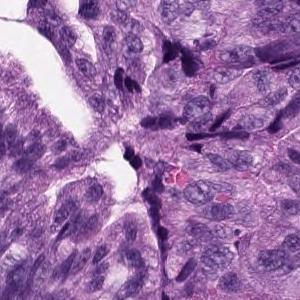
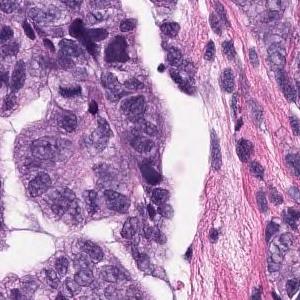
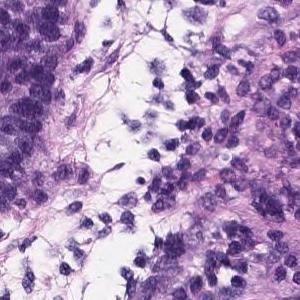
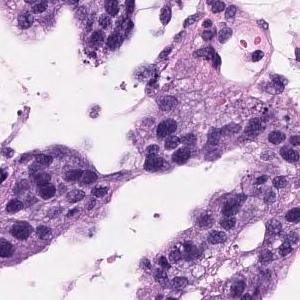
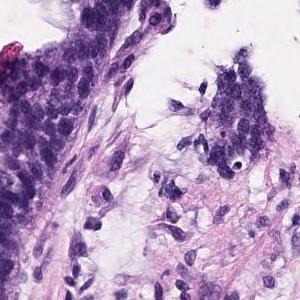
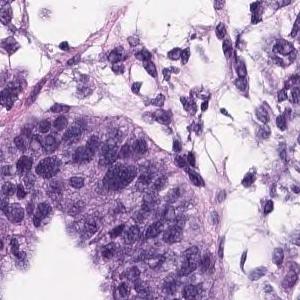
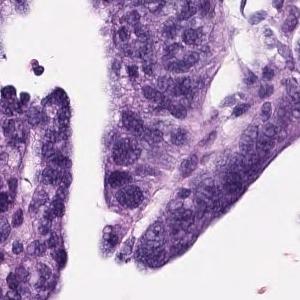
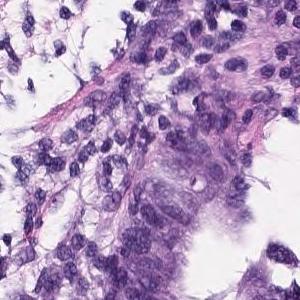
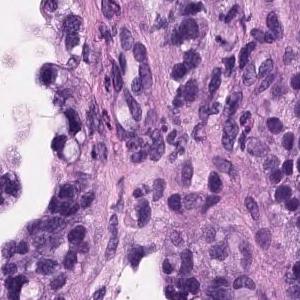
Hematoxylin and eosin stain; 9 image tiles from a single gastric biopsy slide; 300×300 px each.
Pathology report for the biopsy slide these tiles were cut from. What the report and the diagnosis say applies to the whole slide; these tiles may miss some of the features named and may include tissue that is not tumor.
Tumor cells are large, highly columnar, large club-shaped nuclei, and are associated with chromatin aggregation. Papillary adenocarcinoma.
